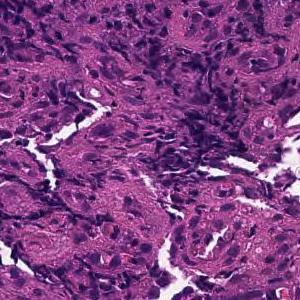
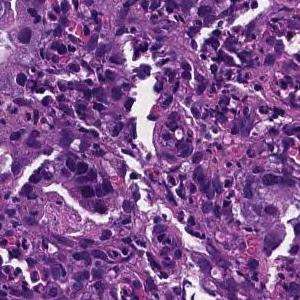
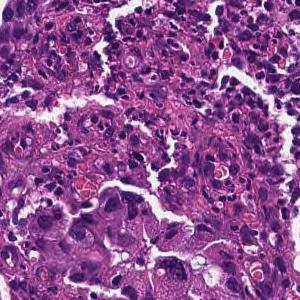
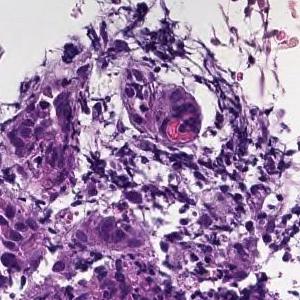
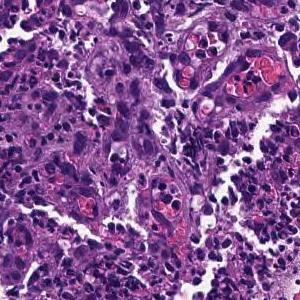
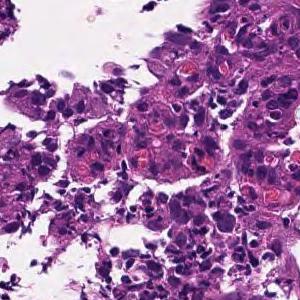
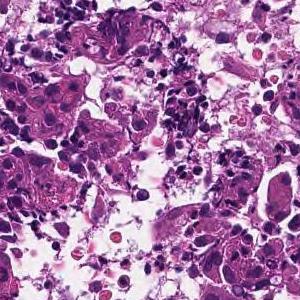
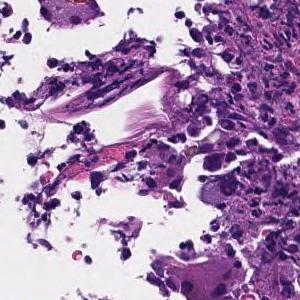
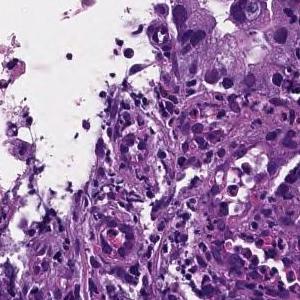
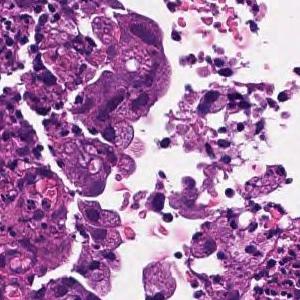
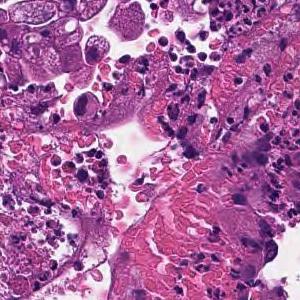
H&E stain, 20× magnification, 11 tiles cut from one stomach biopsy slide, each 300 × 300 pixels.
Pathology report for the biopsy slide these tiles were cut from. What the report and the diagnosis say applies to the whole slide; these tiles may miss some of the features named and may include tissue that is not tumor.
Tumor cells are medium to large, cuboidal, and have little tendency to differentiate. Poorly differentiated adenocarcinoma, solid-type  or moderately differentiated tubular adenocarcinoma
Dataset label: poorly differentiated adenocarcinoma, solid type. This name comes from the Japanese Classification of Gastric Carcinoma; the WHO 2019 classification calls it tubular adenocarcinoma, poorly differentiated.
